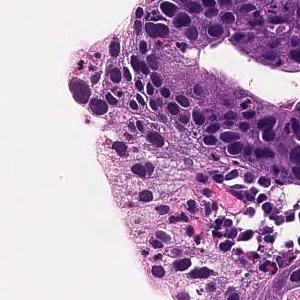
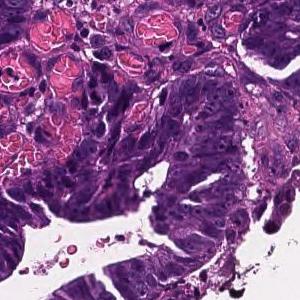
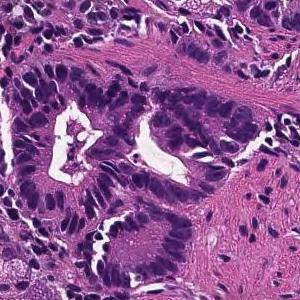
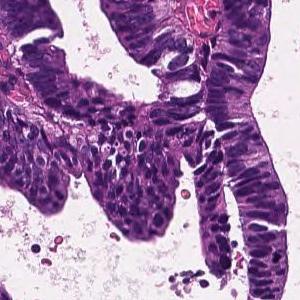
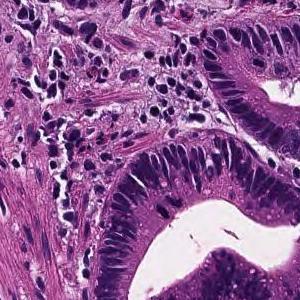
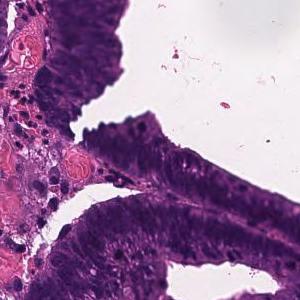
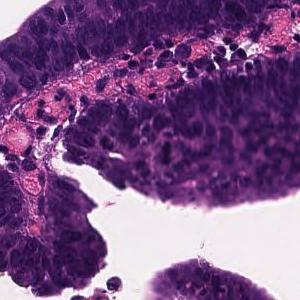
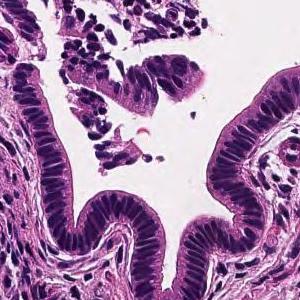
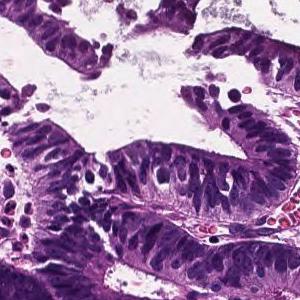
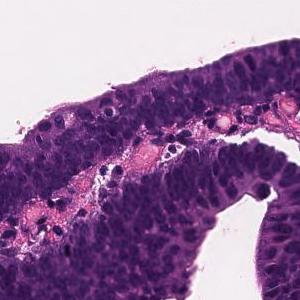
10 tiles from the same stomach biopsy slide; H&E stain.
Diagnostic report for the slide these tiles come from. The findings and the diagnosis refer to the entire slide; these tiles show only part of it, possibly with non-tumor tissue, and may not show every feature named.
Tumor tissue consisting of large papillary structures is found in the superficial epithelium. Papillary adenocarcinoma.
